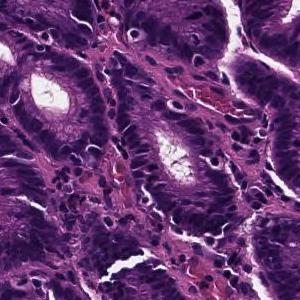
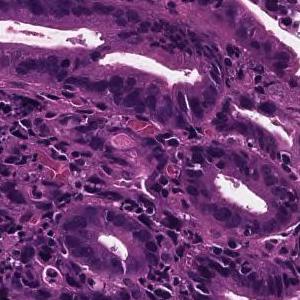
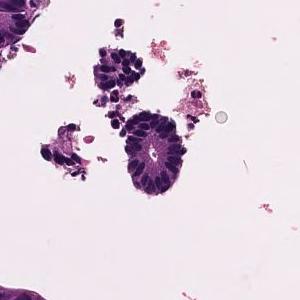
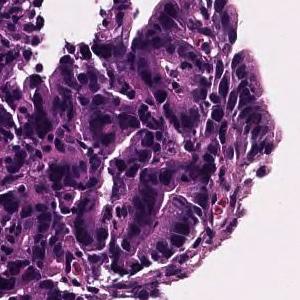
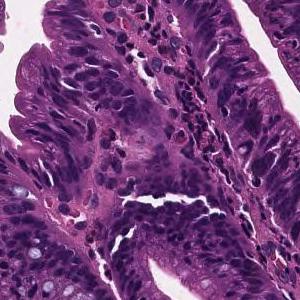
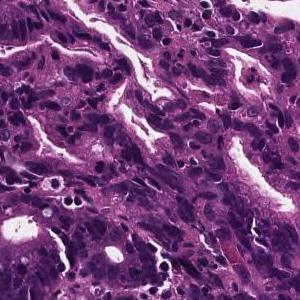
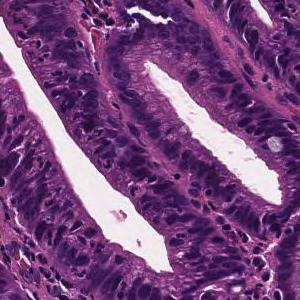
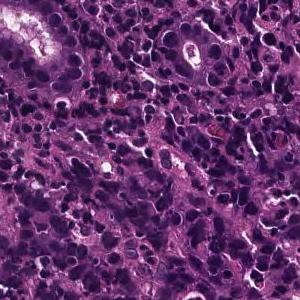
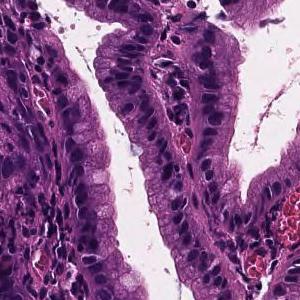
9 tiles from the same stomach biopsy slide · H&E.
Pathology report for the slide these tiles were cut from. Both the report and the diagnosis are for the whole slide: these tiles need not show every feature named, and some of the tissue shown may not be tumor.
On the superficial epithelium, tumor tissue consisting of medium-sized irregular glandular ducts partially fused and infiltrated is observed. Well to moderately differentiated tubular adenocarcinoma (well differentiated tubular adenocarcinoma-moderately differentiated tubular adenocarcinoma)
Histologic type: Well to moderately differentiated tubular adenocarcinoma.
